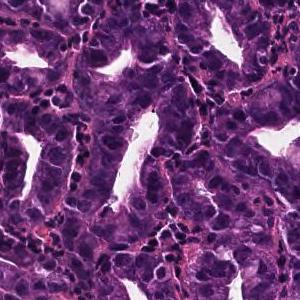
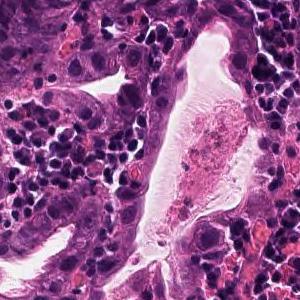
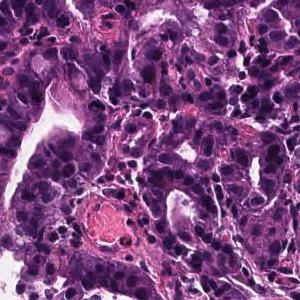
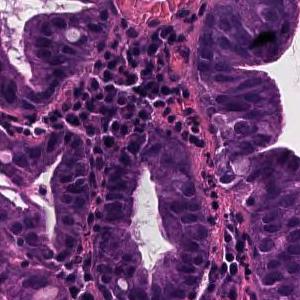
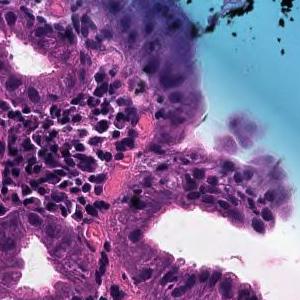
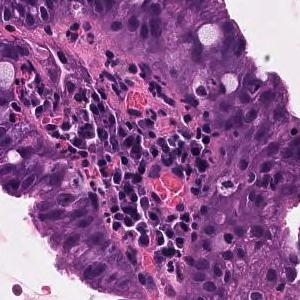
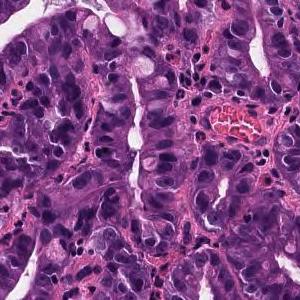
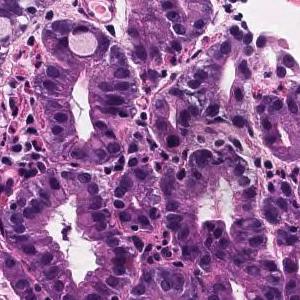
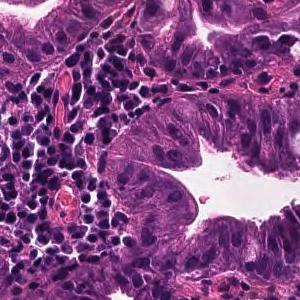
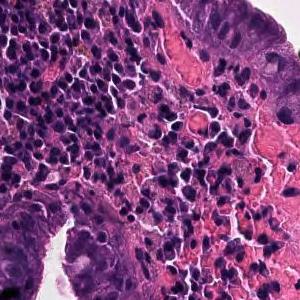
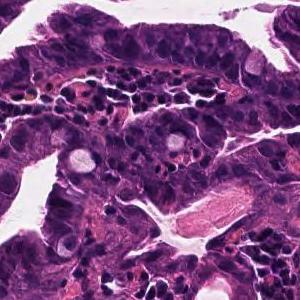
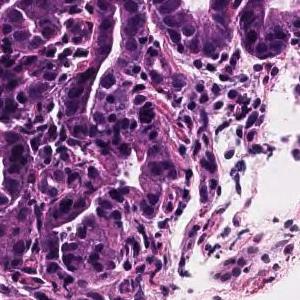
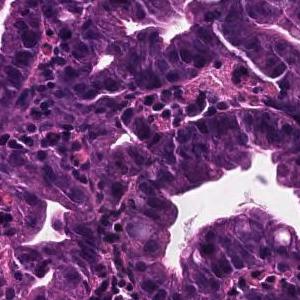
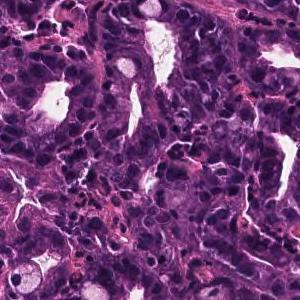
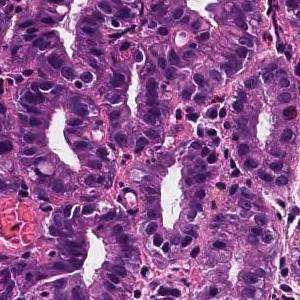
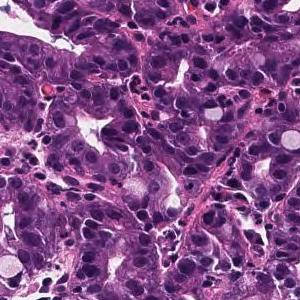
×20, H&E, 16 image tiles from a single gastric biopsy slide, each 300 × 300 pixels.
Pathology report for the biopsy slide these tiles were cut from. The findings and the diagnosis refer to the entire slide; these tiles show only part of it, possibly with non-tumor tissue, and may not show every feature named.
Atypical tubular proliferation of well to moderately differentiated gastric gland with hyperchromatic nuclei and high N:C ratio. Mitotic figures were also present. These histological findings were suggestive of well to moderately differentiated tubular adenocarcinoma (well differentiated tubular adenocarcinoma, moderately differentiated tubular adenocarcinoma).
Dataset label: well differentiated tubular adenocarcinoma.
